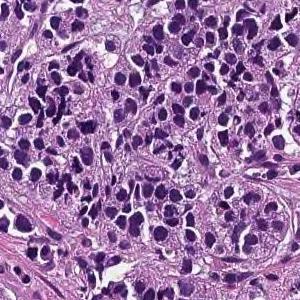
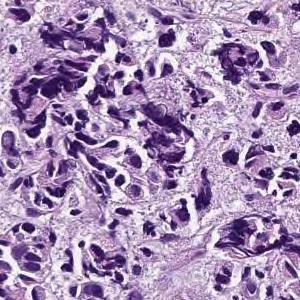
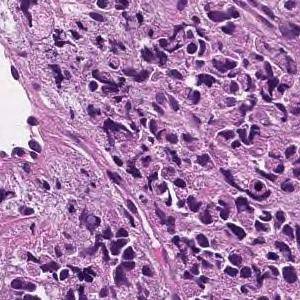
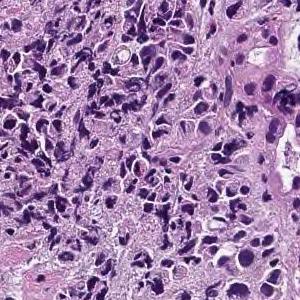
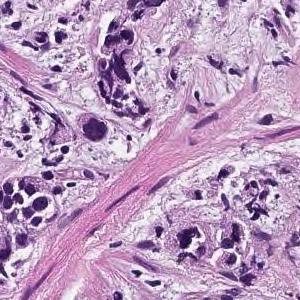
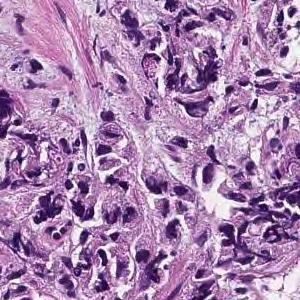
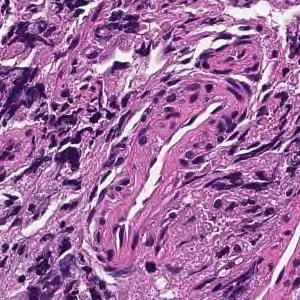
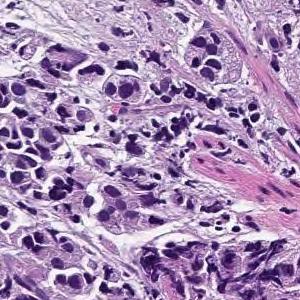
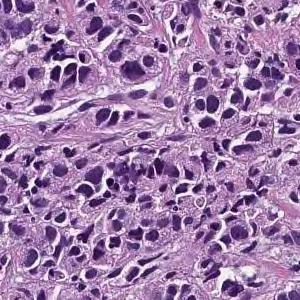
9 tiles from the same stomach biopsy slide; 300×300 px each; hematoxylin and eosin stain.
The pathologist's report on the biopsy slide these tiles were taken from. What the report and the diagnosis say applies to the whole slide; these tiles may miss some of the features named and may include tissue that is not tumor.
The lamina propria shows small cord-like tumor tissue that infiltrates with fibrosis and marked chronic inflammatory cell infiltration. Poorly differentiated adenocarcinoma, non-solid type
The term "non-solid type" comes from the Japanese Classification of Gastric Carcinoma.
